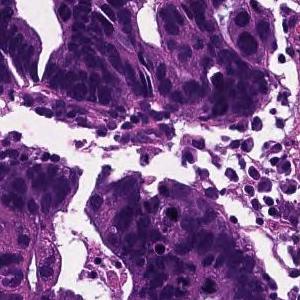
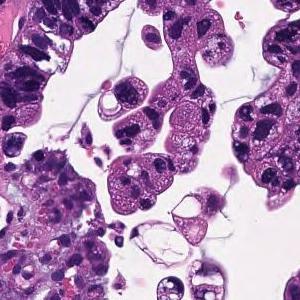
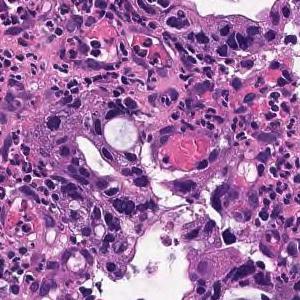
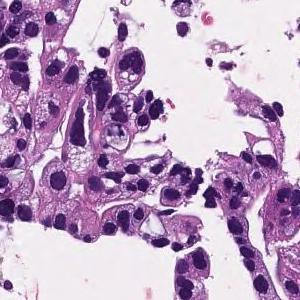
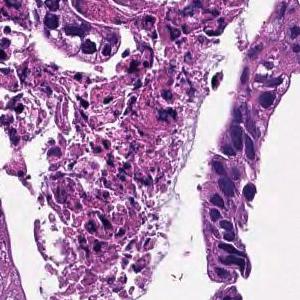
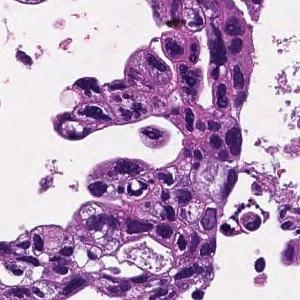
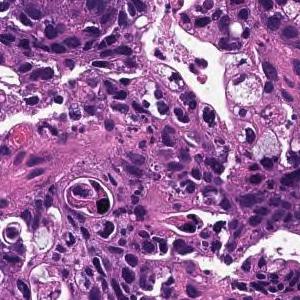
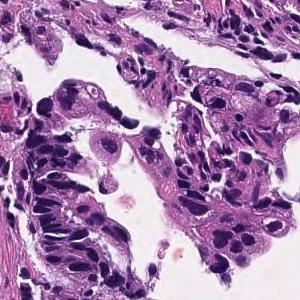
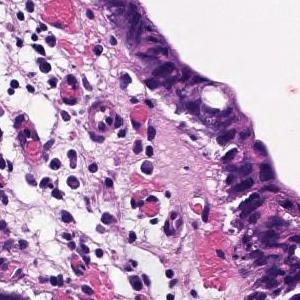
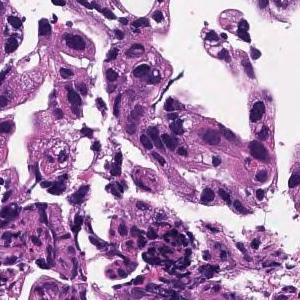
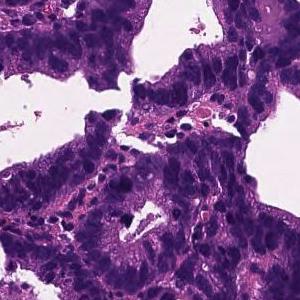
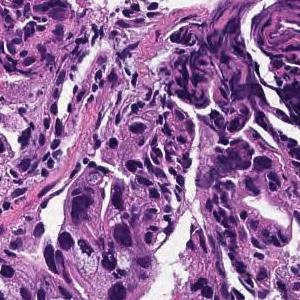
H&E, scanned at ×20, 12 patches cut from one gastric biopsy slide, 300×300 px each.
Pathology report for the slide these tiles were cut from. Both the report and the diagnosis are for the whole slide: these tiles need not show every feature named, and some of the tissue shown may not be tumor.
In the superficial epithelium, tumor tissue that invades by forming medium-sized to small, irregular ducts is observed. moderately differentiated tubular adenocarcinoma.
